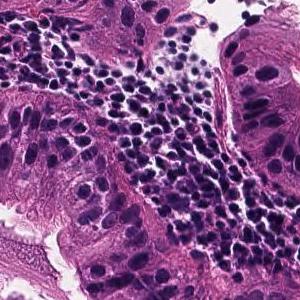
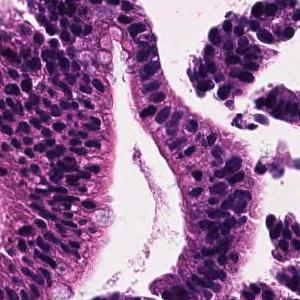
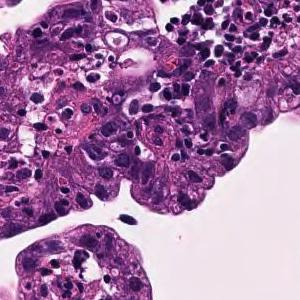
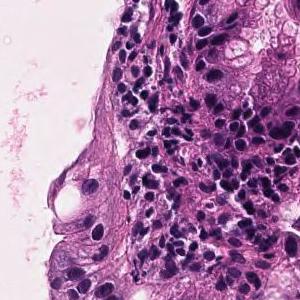
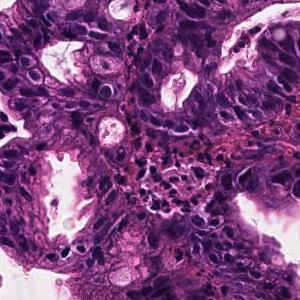
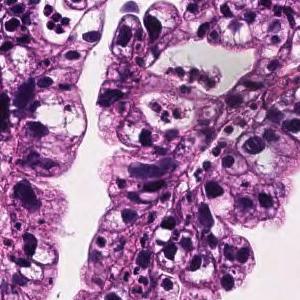
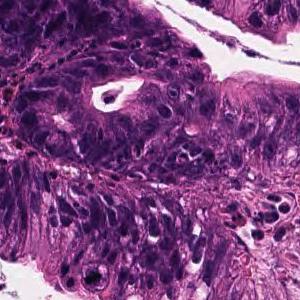
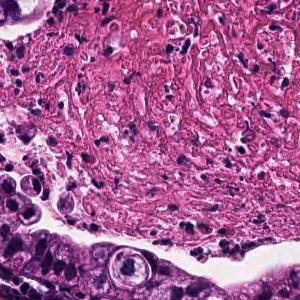
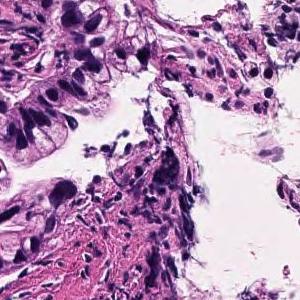
9 patches cut from one gastric biopsy slide, 300×300 px each, scanned at ×20, H&E stain.
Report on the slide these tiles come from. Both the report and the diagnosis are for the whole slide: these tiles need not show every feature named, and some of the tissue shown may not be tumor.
Tumor cells are large, highly columnar, large club-shaped nuclei, and are associated with chromatin aggregation. Papillary adenocarcinoma.
